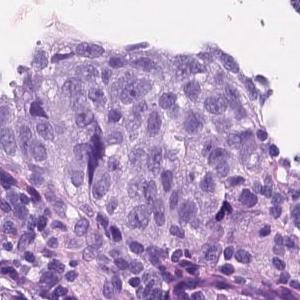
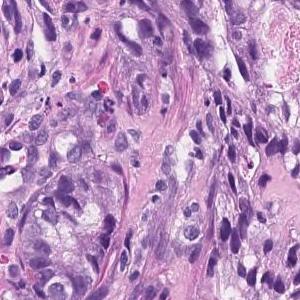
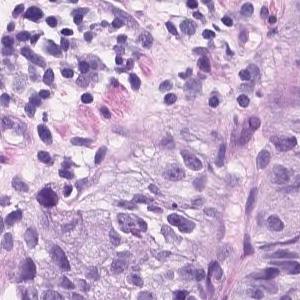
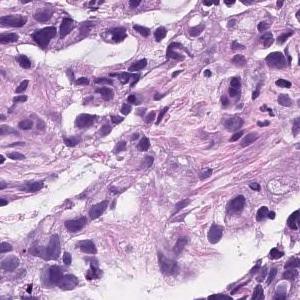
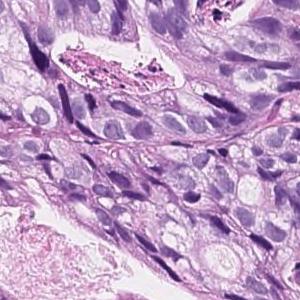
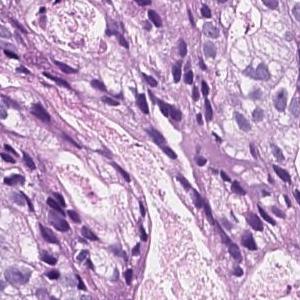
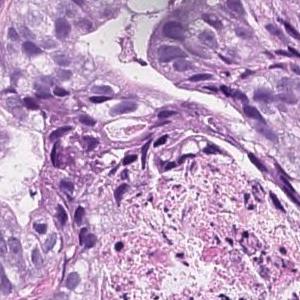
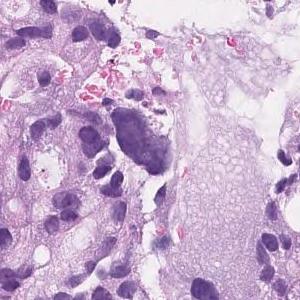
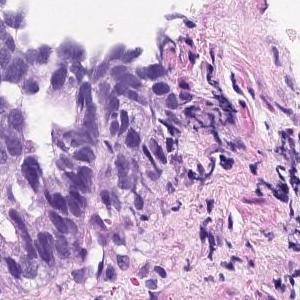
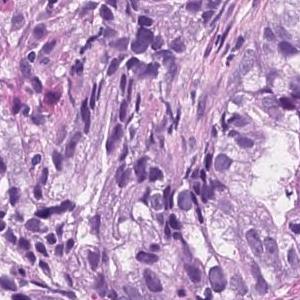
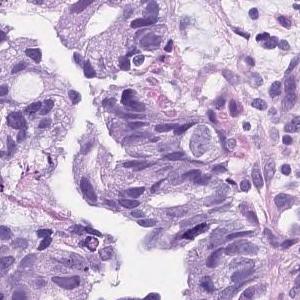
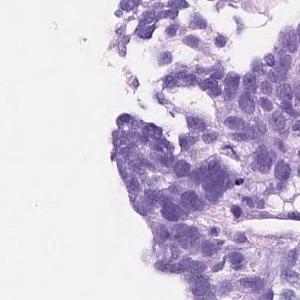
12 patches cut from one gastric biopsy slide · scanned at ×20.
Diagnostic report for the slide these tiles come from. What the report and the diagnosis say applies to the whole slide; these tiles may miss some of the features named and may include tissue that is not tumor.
On the superficial epithelium, tumor tissue consisting of an image of large, irregular glandular ducts partially fused and infiltrated is observed. Well to moderately differentiated tubular adenocarcinoma
